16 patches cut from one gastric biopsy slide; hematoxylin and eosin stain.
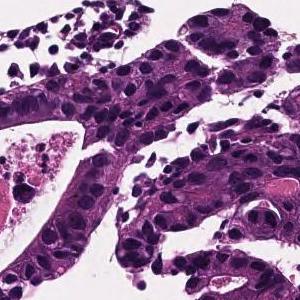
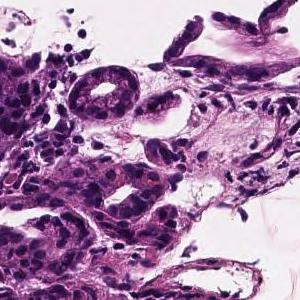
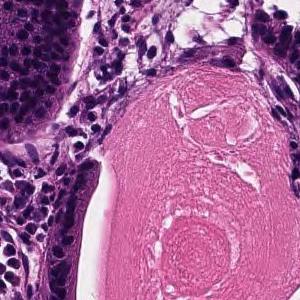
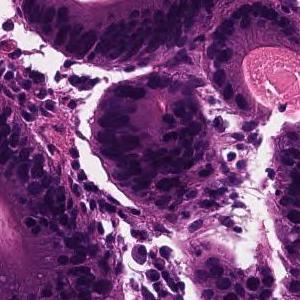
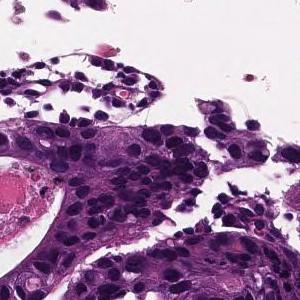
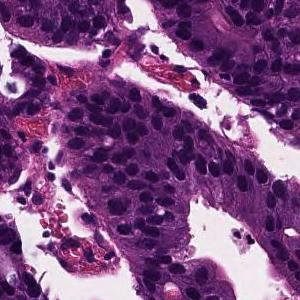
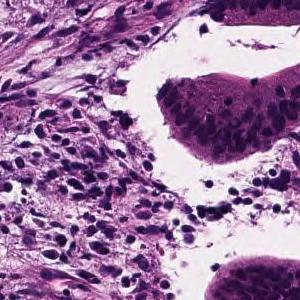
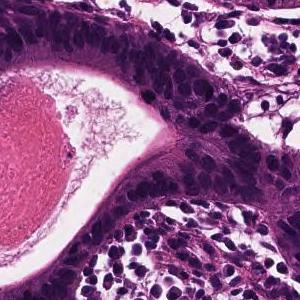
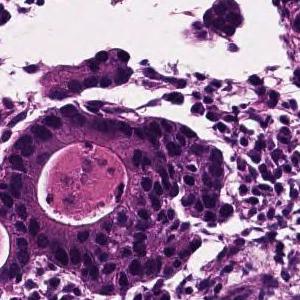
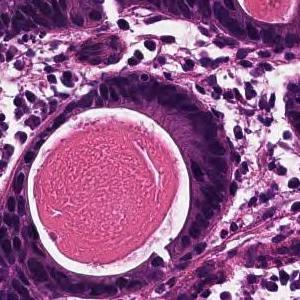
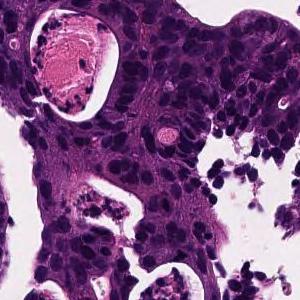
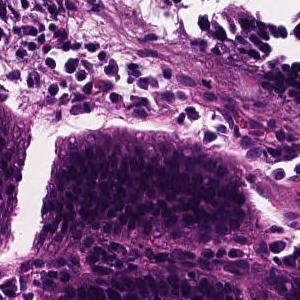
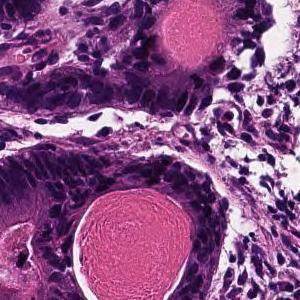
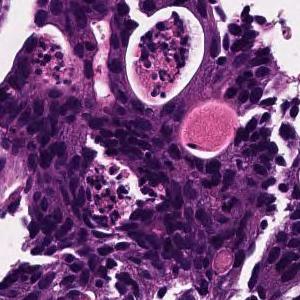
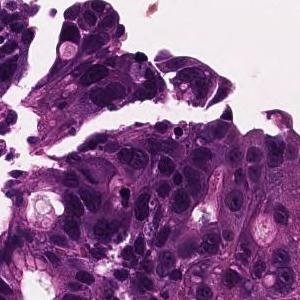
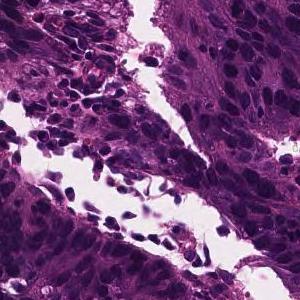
Diagnostic report for the slide these tiles come from. The report and the diagnosis cover the entire slide, so not every feature they name need be visible here, and some tissue shown may not be tumor.
In the superficial epithelium, tumor tissue that invades by forming medium-sized to small, irregular ducts is observed. moderately differentiated tubular adenocarcinoma.
